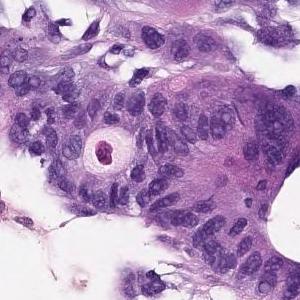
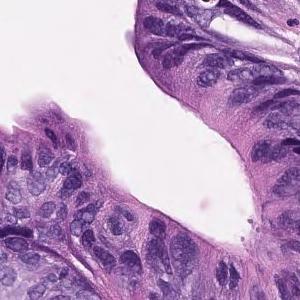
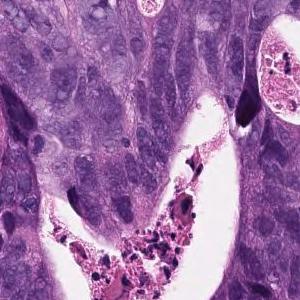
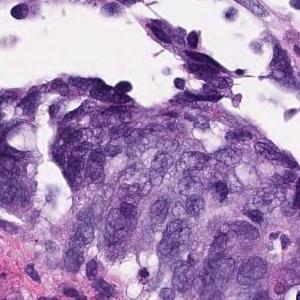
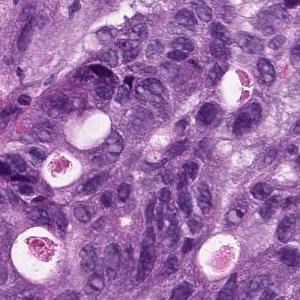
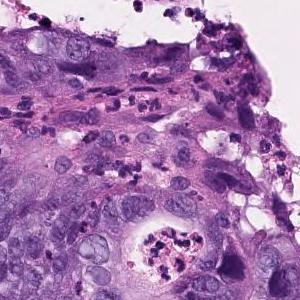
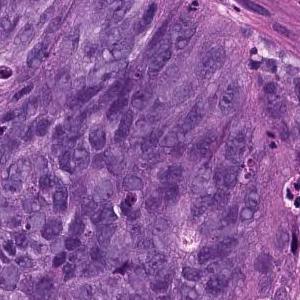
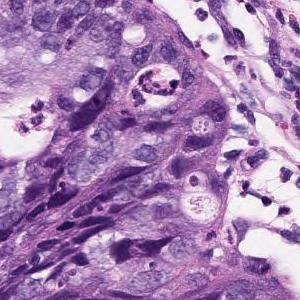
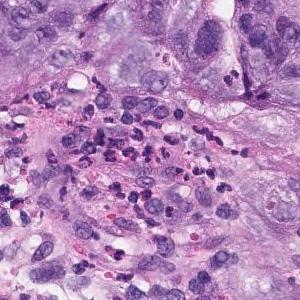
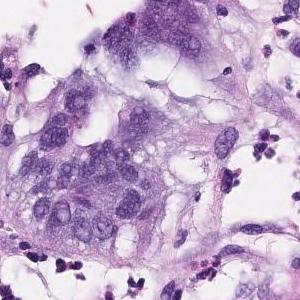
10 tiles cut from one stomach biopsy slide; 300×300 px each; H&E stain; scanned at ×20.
Pathology report for the slide these tiles were cut from. Both the report and the diagnosis are for the whole slide: these tiles need not show every feature named, and some of the tissue shown may not be tumor.
In the superficial epithelium, tumor tissue that invades by forming medium-sized to small, irregular ducts is observed. Moderately differentiated adenocarcinoma.
Classified as moderately differentiated tubular adenocarcinoma.
